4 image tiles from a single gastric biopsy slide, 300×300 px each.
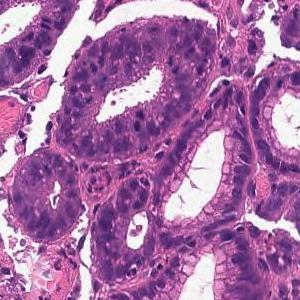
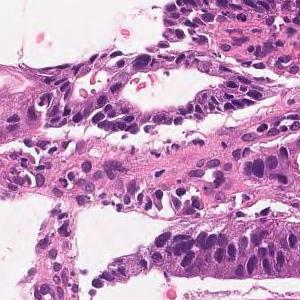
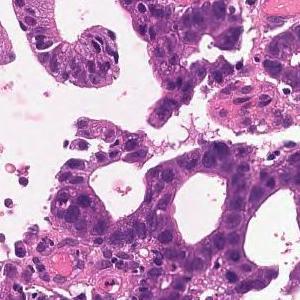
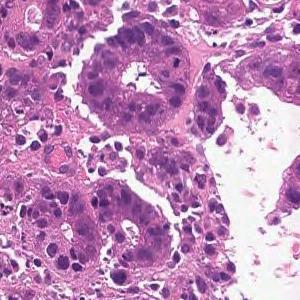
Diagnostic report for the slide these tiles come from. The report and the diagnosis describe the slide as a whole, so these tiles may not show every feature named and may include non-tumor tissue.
From the superficial epithelium to the muscularis mucosae, tumor tissue consisting of medium-sized and irregular glandular ducts infiltrating is observed. Well differentiated tubular adenocarcinoma
